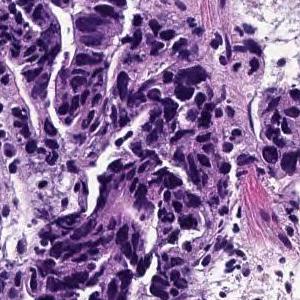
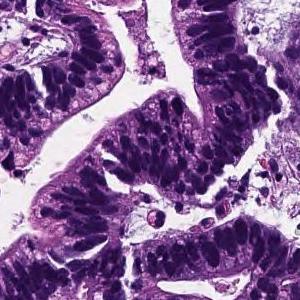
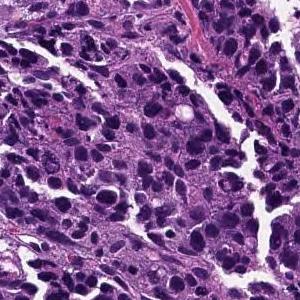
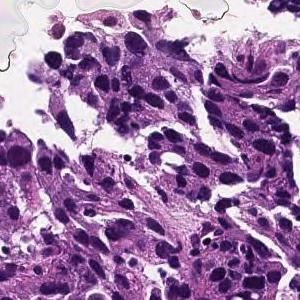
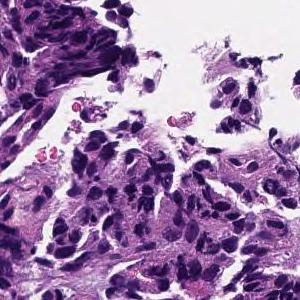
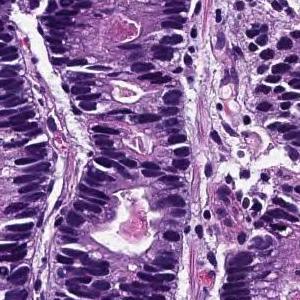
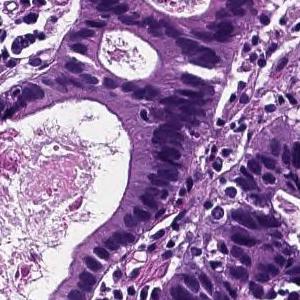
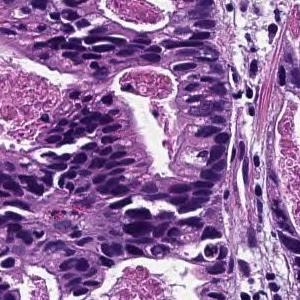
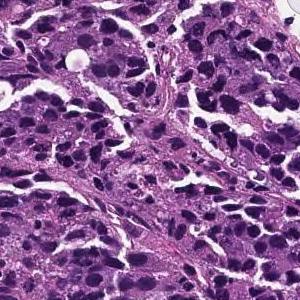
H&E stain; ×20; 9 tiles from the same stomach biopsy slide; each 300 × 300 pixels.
Report on the slide these tiles come from. Both the report and the diagnosis are for the whole slide: these tiles need not show every feature named, and some of the tissue shown may not be tumor.
From the superficial epithelium to the muscularis mucosae, tumor tissue consisting of medium-sized and irregular glandular ducts infiltrating is observed. Well differentiated tubular adenocarcinoma
